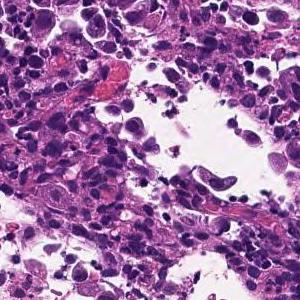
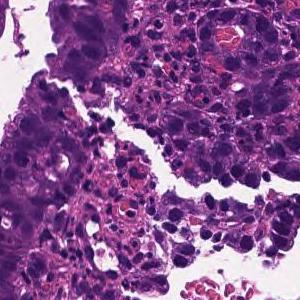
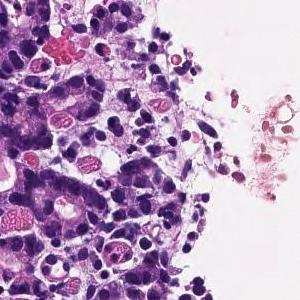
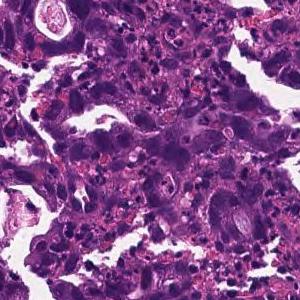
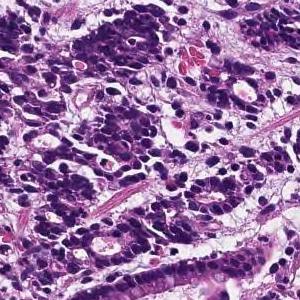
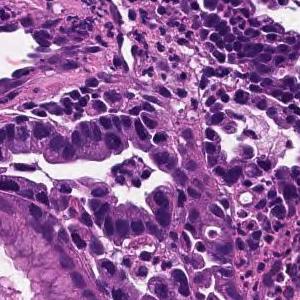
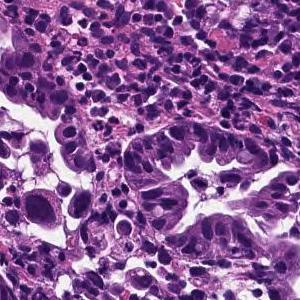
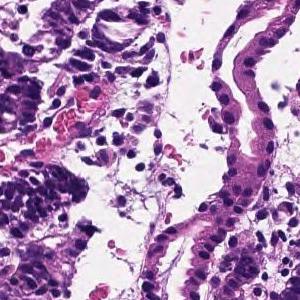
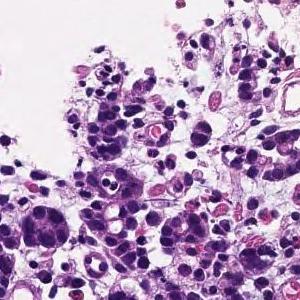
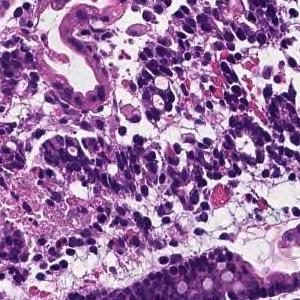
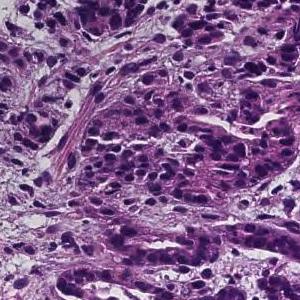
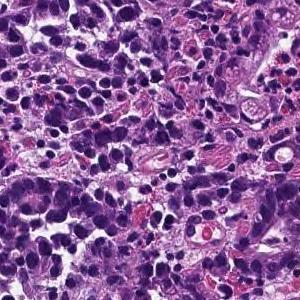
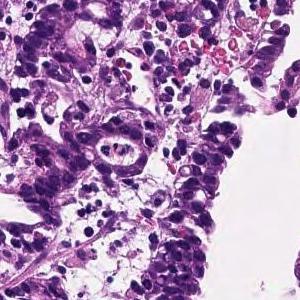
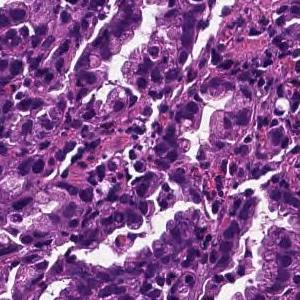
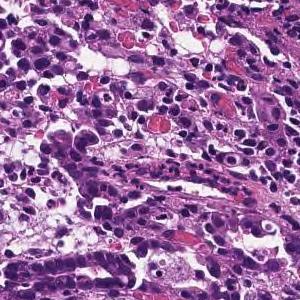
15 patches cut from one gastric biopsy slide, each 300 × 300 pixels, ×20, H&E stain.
Diagnostic report for the slide these tiles come from. The findings and the diagnosis refer to the entire slide; these tiles show only part of it, possibly with non-tumor tissue, and may not show every feature named.
In the superficial epithelium, tumor tissue that invades by forming medium-sized to small, irregular ducts is observed. moderately differentiated tubular adenocarcinoma.
